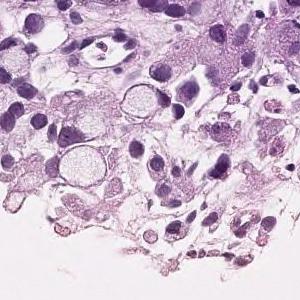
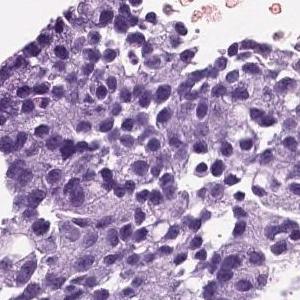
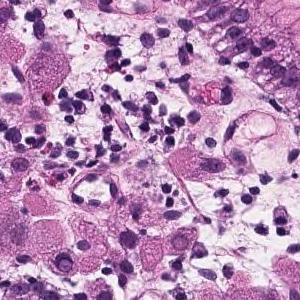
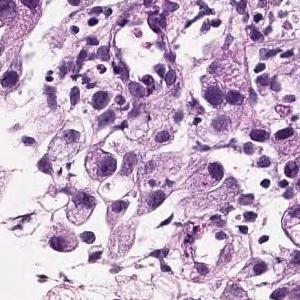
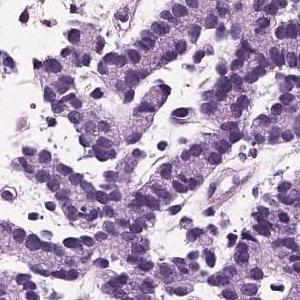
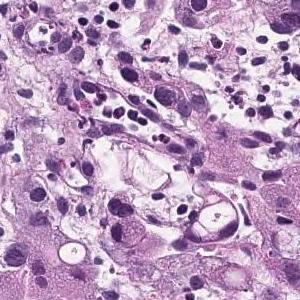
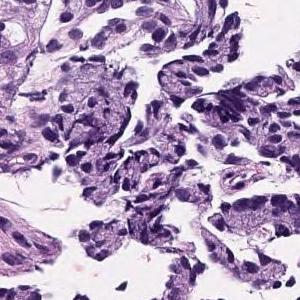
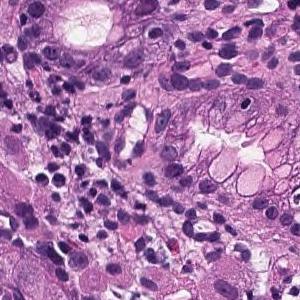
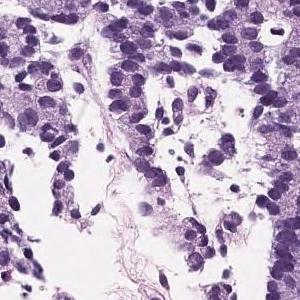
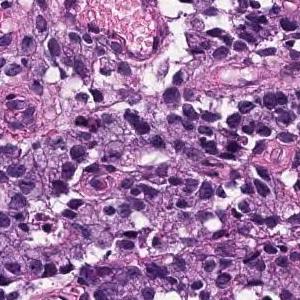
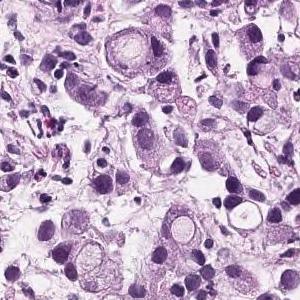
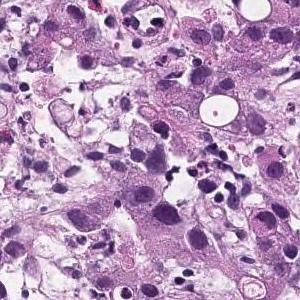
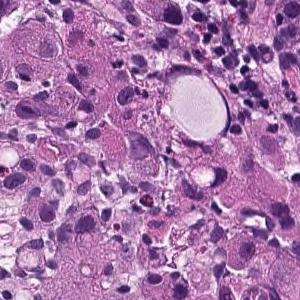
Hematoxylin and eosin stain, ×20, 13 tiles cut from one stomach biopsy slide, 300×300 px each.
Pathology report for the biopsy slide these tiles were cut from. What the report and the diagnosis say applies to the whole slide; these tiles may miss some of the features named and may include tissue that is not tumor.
Tumor tissue infiltrated by irregular fusion of small cord-like structures is found in the superficial epithelium. Poorly differentiated adenocarcinoma, non-solid type
"Non-solid type" is a category of the Japanese Classification of Gastric Carcinoma.
